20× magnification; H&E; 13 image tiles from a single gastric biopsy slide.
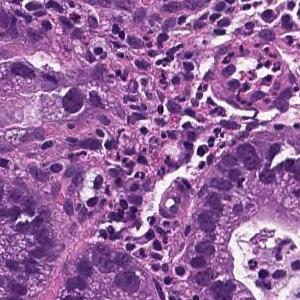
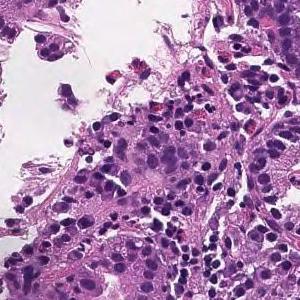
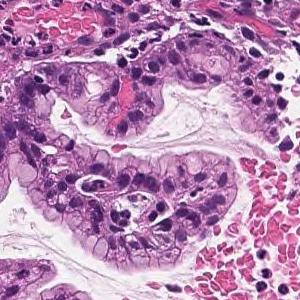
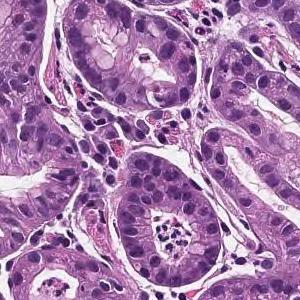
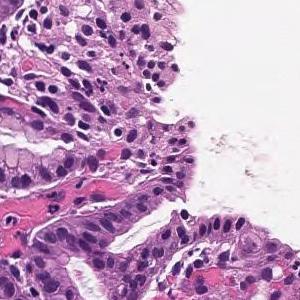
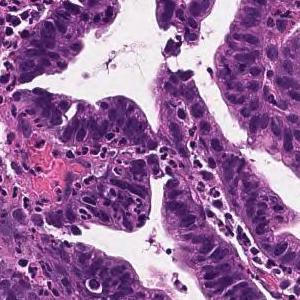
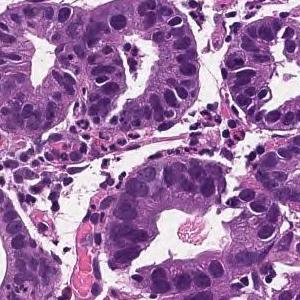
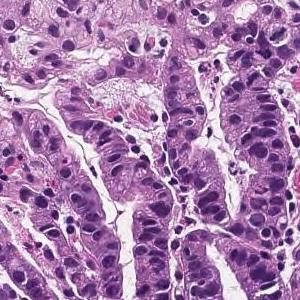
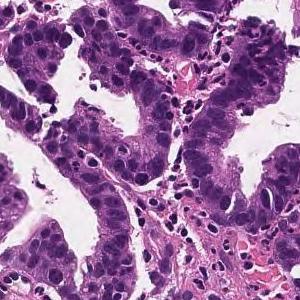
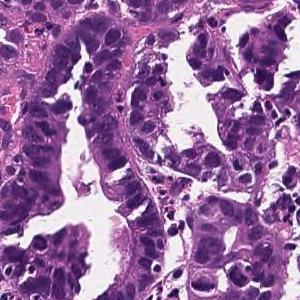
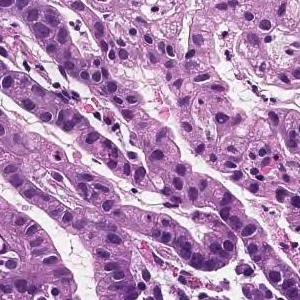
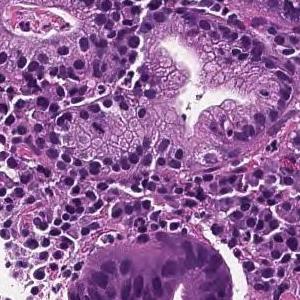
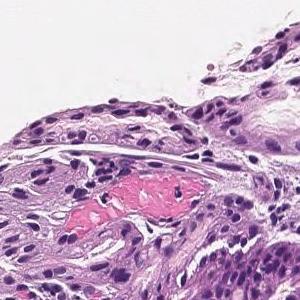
Diagnostic report for the slide these tiles come from. Both the report and the diagnosis are for the whole slide: these tiles need not show every feature named, and some of the tissue shown may not be tumor.
On the superficial epithelium, tumor tissue consisting of medium-sized irregular or small round gland ducts showing a small cord-like shape and infiltrating is observed. Well differentiated tubular adenocarcinoma or Poorly differentiated adenocarcinoma, non-solid type
Labeled in the dataset as well differentiated tubular adenocarcinoma.
"Non-solid type" is a category of the Japanese Classification of Gastric Carcinoma.
